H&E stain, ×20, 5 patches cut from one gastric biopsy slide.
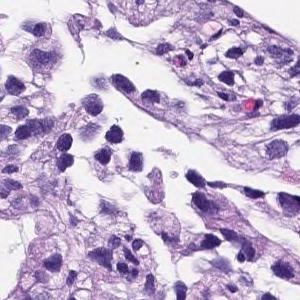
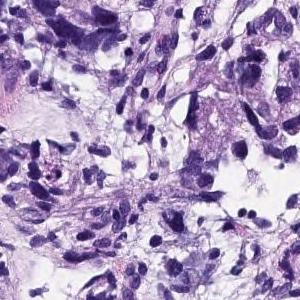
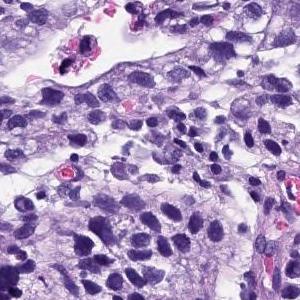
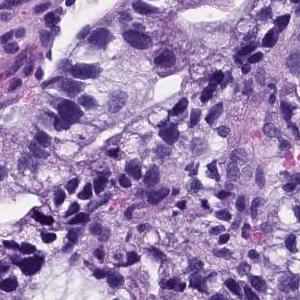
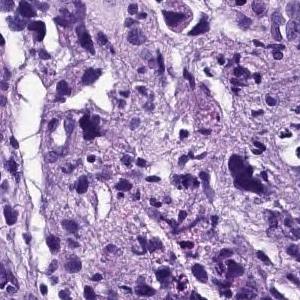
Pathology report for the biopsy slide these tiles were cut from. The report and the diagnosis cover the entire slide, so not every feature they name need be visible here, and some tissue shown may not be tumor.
Medium to small, irregular glandular ducts are formed in the superficial epithelium, and in some cases, the glandular ducts are fused to show solid alveolar lesions and infiltrating tumor tissue is observed. Poorly differentiated adenocarcinoma, Moderately differentiated adenocarcinoma.
The dataset labels this slide moderately differentiated tubular adenocarcinoma.
